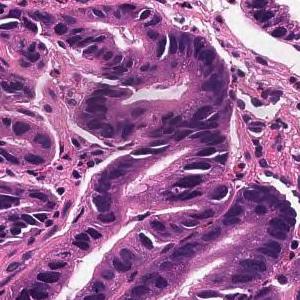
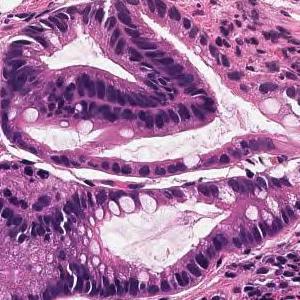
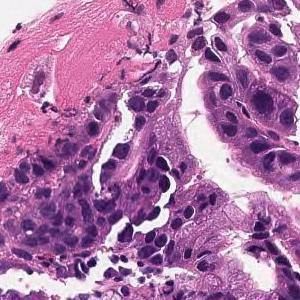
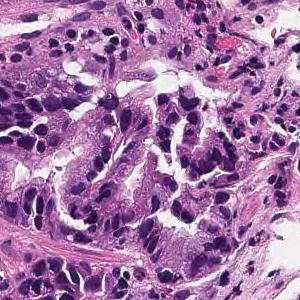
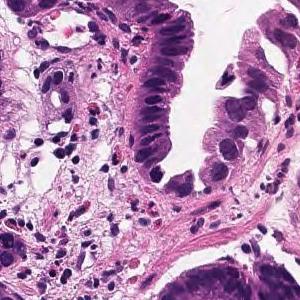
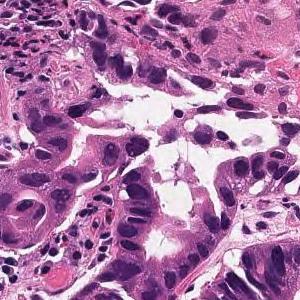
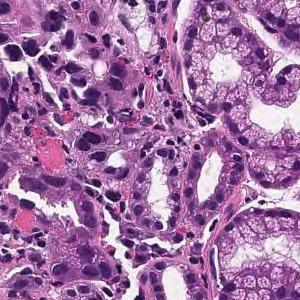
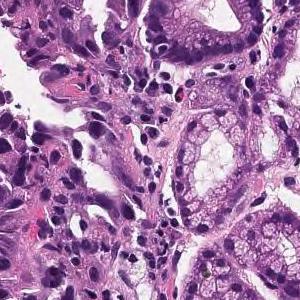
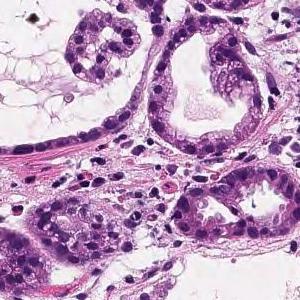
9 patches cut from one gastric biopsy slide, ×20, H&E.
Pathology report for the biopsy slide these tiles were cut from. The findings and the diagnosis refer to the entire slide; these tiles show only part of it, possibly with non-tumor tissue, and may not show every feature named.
On the superficial epithelium, tumor tissue consisting of large, irregular glandular ducts partially fused and infiltrated is observed. Well to moderately differentiated tubular adenocarcinoma (well differentiated tubular adenocarcinoma, moderately differentiated tubular adenocarcinoma)
Histological subtype: Well to moderately differentiated tubular adenocarcinoma.
